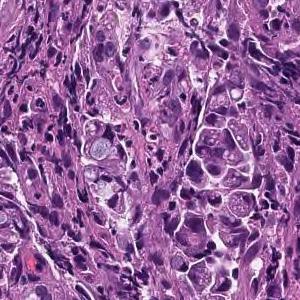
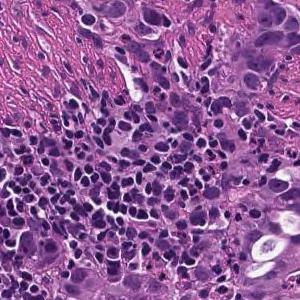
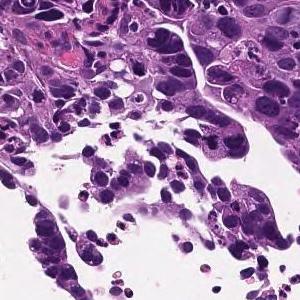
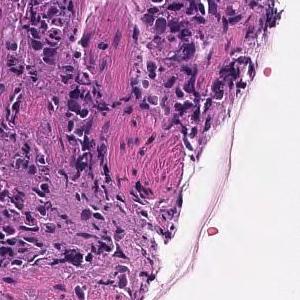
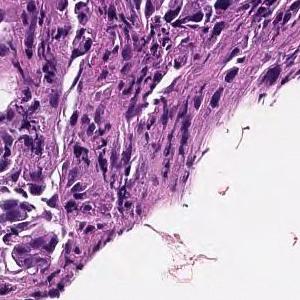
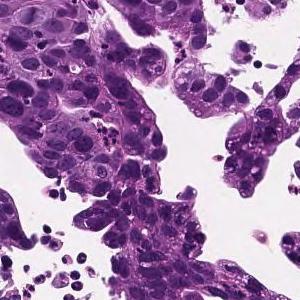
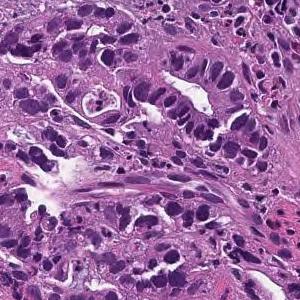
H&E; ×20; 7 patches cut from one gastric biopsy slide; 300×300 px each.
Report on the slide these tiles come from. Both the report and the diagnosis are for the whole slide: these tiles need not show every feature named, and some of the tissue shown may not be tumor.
Tumor tissue consisting of medium-sized, cord-like or irregular glandular infiltration is observed in the superficial epithelium. Poorly differentiated adenocarcinoma, non-solid type or moderately differentiated tubular adenocarcinoma
Classified as moderately to poorly differentiated adenocarcinoma.
The non-solid type named here is a Japanese Classification of Gastric Carcinoma category.
